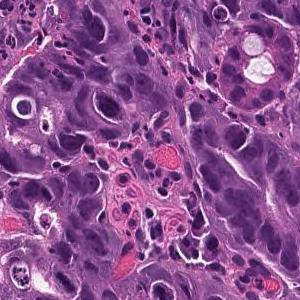
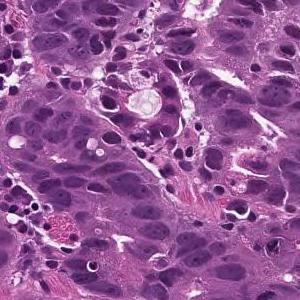
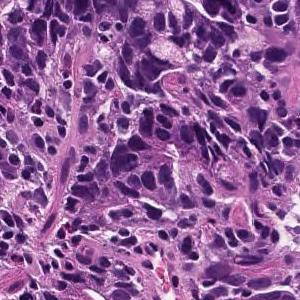
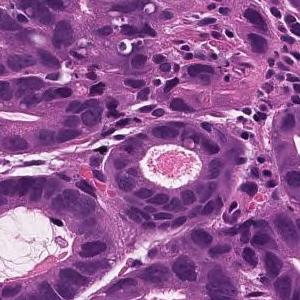
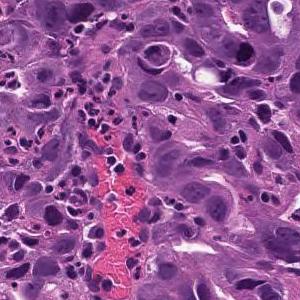
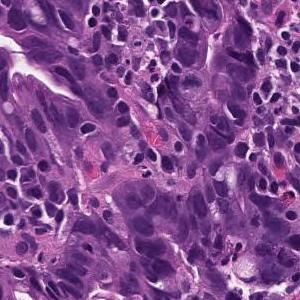
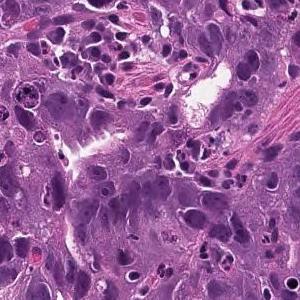
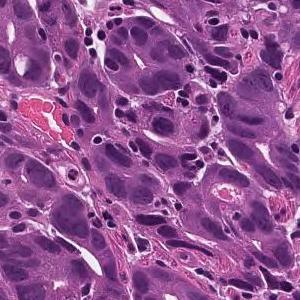
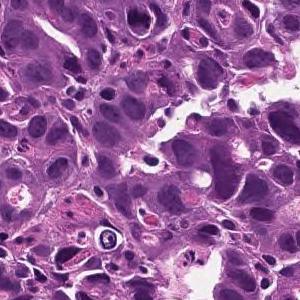
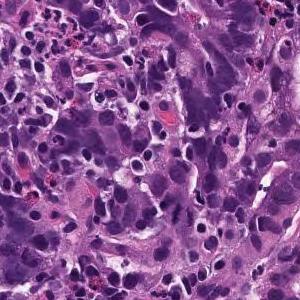
20× magnification · H&E stain · 10 tiles cut from one stomach biopsy slide.
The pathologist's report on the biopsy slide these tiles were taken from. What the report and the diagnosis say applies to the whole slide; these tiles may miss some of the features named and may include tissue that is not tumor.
On the superficial epithelium, tumor tissue is found in which medium-sized irregular gland ducts fuse with each other and infiltrate. moderately differentiated tubular adenocarcinoma
